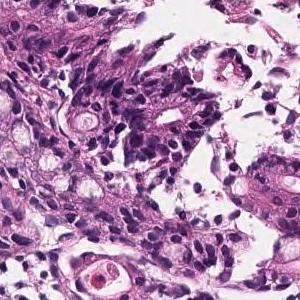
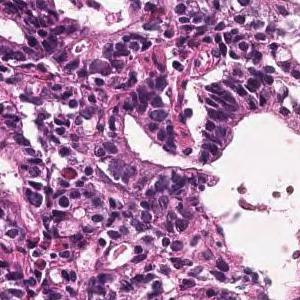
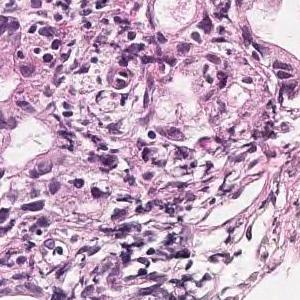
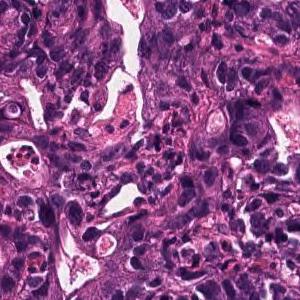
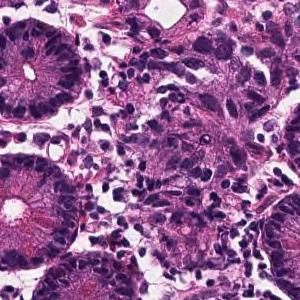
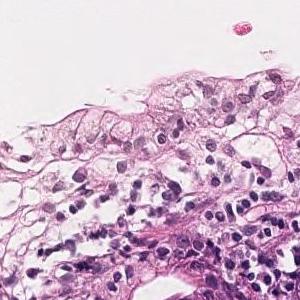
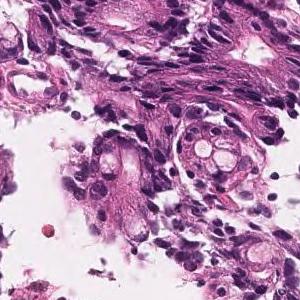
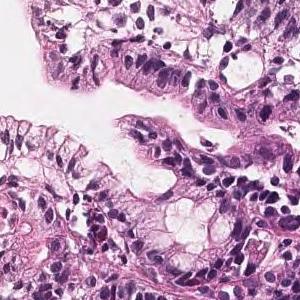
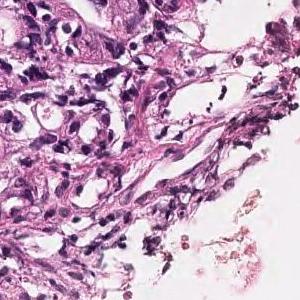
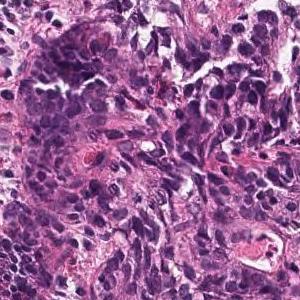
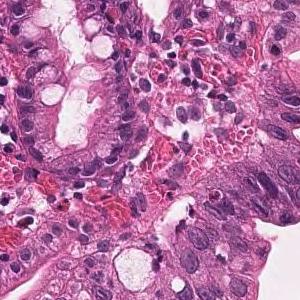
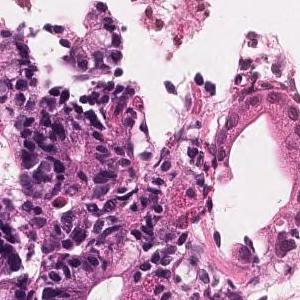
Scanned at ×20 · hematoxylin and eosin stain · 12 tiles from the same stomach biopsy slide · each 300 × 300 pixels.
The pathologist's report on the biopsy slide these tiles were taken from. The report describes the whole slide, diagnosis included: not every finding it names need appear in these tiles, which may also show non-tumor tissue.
On the superficial epithelium, tumor tissue consisting of large, irregular glandular ducts partially fused and infiltrated is observed. Well to moderately differentiated tubular adenocarcinoma (well differentiated tubular adenocarcinoma, moderately differentiated tubular adenocarcinoma)
Tumor subtype: well to moderately differentiated tubular adenocarcinoma.
